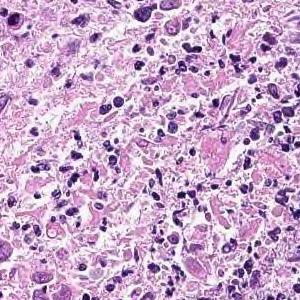
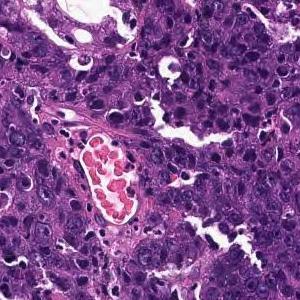
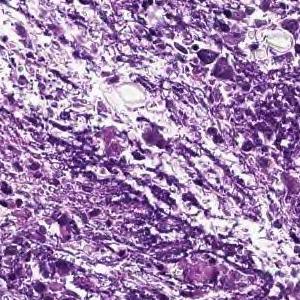
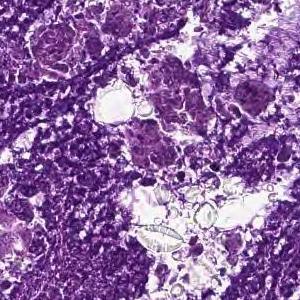
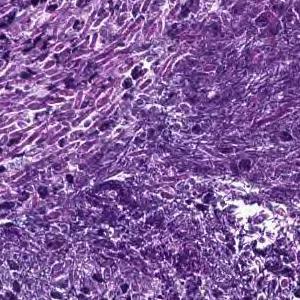
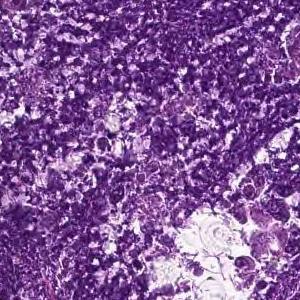
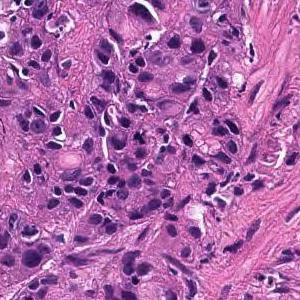
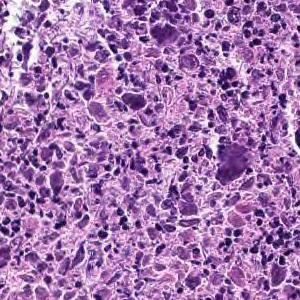
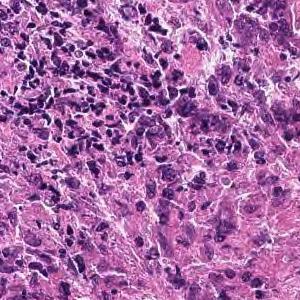
Scanned at ×20; 9 image tiles from a single gastric biopsy slide; 300 × 300 pixels each.
Diagnostic report for the slide these tiles come from. The findings and the diagnosis refer to the entire slide; these tiles show only part of it, possibly with non-tumor tissue, and may not show every feature named.
Cancers with polygonal nuclei do not show glandular formation and are densely, in part, cord-like and proliferate. Poorly differentiated adenocarcinoma
Tumor subtype: poorly differentiated adenocarcinoma, non-solid type.
The term "non-solid type" comes from the Japanese Classification of Gastric Carcinoma.
